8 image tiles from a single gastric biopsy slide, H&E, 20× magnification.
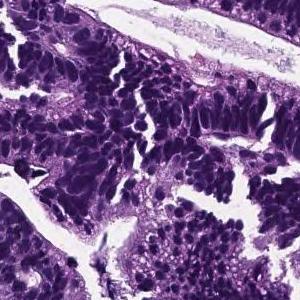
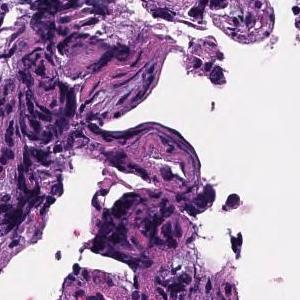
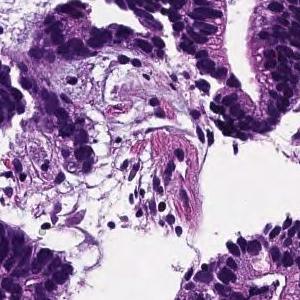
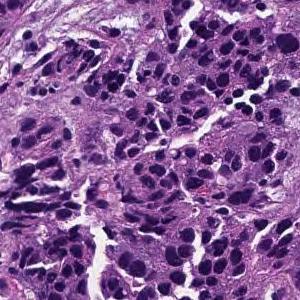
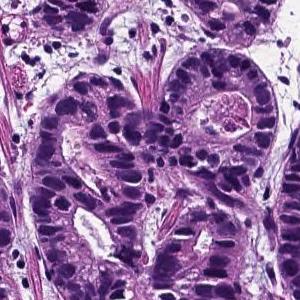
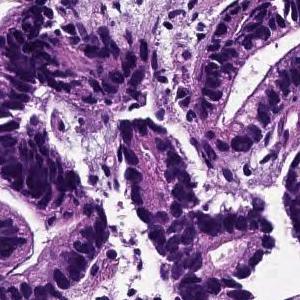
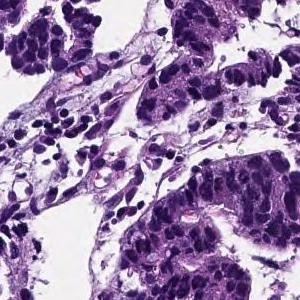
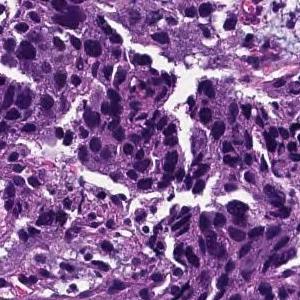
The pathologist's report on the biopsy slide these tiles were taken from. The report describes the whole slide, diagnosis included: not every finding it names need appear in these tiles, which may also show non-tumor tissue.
From the superficial epithelium to the muscularis mucosae, tumor tissue consisting of medium-sized and irregular glandular ducts infiltrating is observed. Well differentiated tubular adenocarcinoma
